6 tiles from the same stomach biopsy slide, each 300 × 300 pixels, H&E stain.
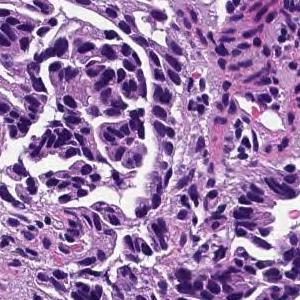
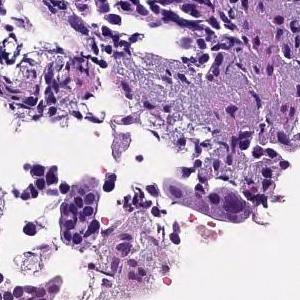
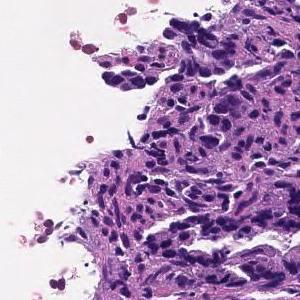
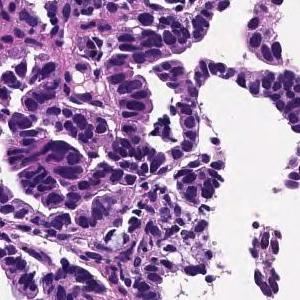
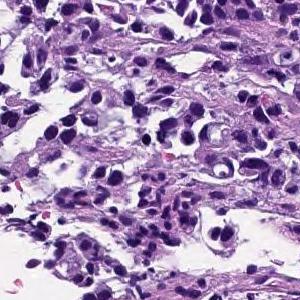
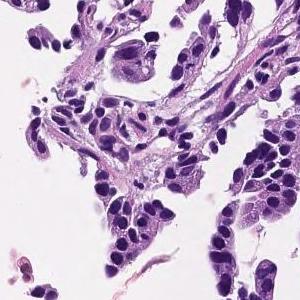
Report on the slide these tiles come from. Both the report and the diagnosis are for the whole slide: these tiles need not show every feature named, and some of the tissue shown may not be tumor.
Tumor tissue consisting of medium-sized, cord-like or irregular glandular infiltration is observed in the superficial epithelium. Poorly differentiated adenocarcinoma, non-solid type or moderately differentiated tubular adenocarcinoma
Histological subtype: Moderately to poorly differentiated adenocarcinoma.
"Non-solid type" is a category of the Japanese Classification of Gastric Carcinoma.
